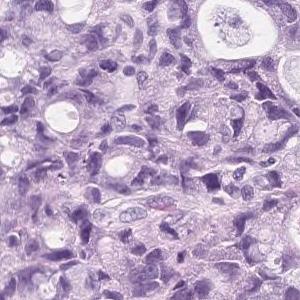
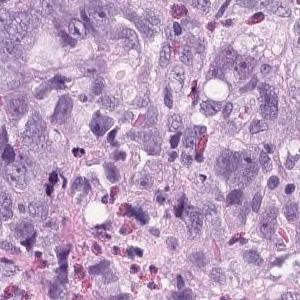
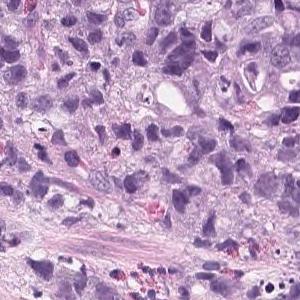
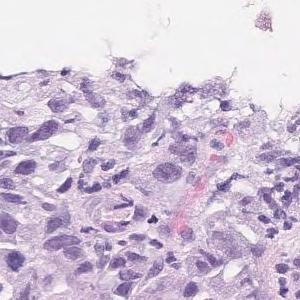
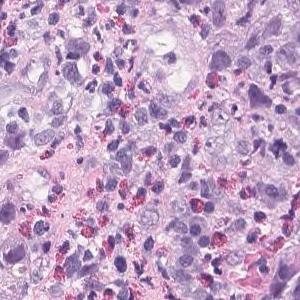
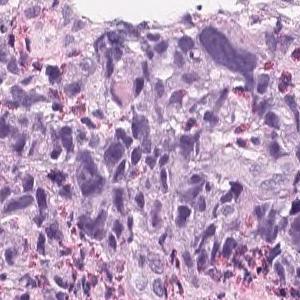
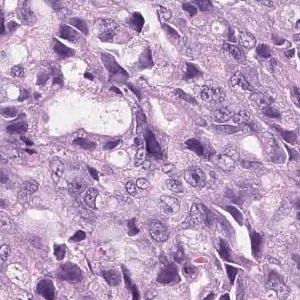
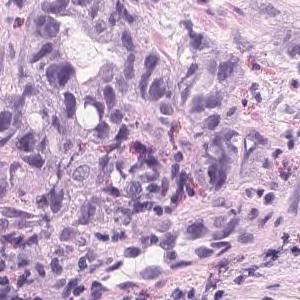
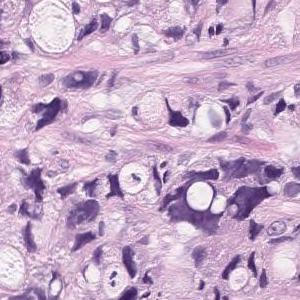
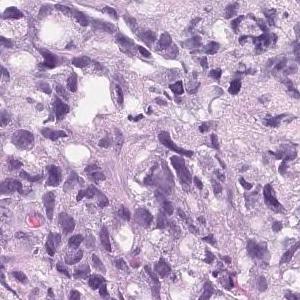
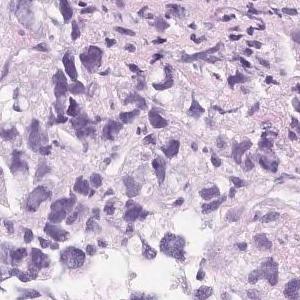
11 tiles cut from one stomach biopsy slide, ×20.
Pathology report for the slide these tiles were cut from. Both the report and the diagnosis are for the whole slide: these tiles need not show every feature named, and some of the tissue shown may not be tumor.
Tumor tissue that infiltrates and proliferates by forming small glandular cavities in the superficial layer to the submucosa or forming a mass is observed. moderately differentiated tubular adenocarcinoma
